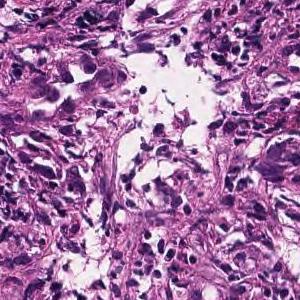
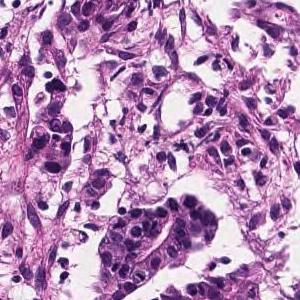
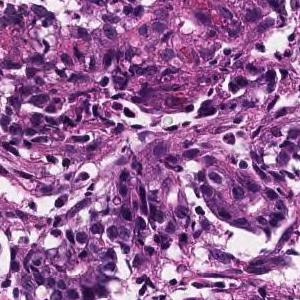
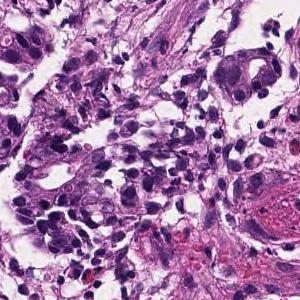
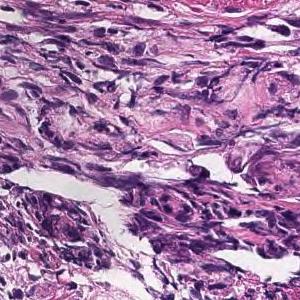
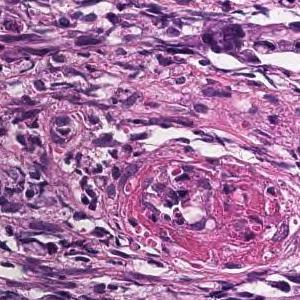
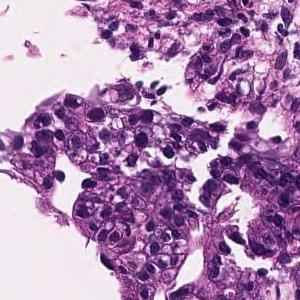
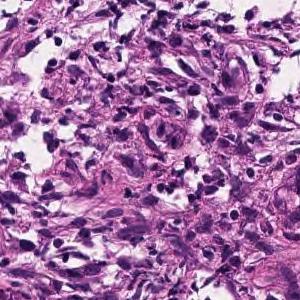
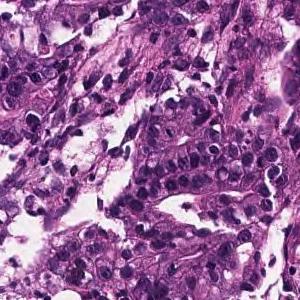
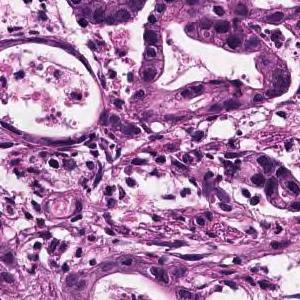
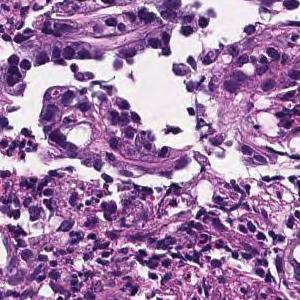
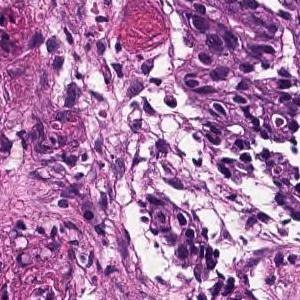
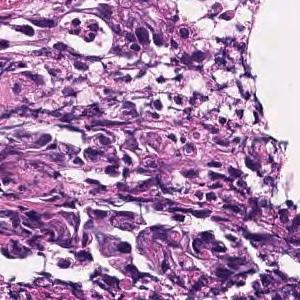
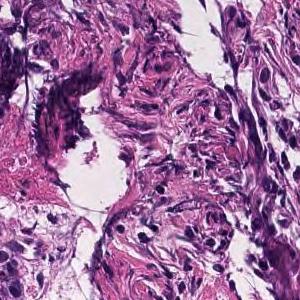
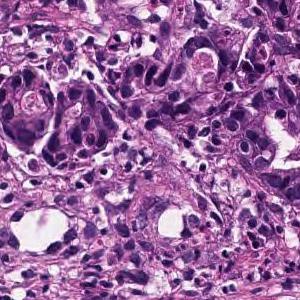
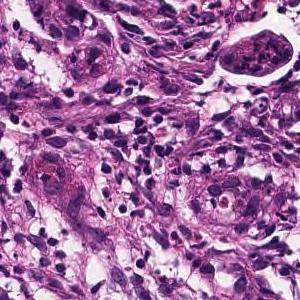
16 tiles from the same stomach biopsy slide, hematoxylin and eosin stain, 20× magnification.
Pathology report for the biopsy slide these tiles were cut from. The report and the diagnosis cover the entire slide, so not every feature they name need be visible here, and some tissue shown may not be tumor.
In the superficial epithelium, medium to small, irregular gland ducts are formed, and in some cases, the gland ducts are fused to show solid alveolar lesions and infiltrating tumor tissue is observed. Moderately to poorly differentiated adenocarcinoma.
